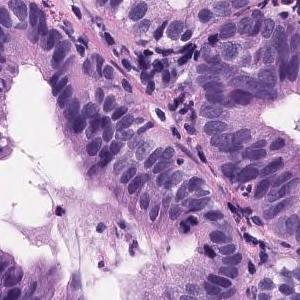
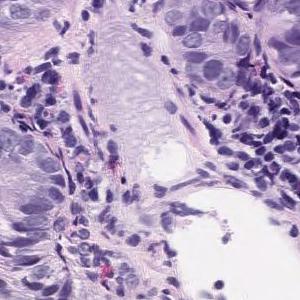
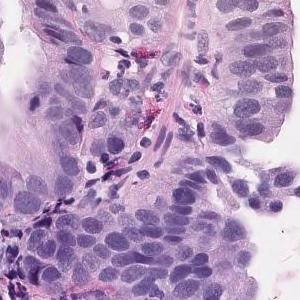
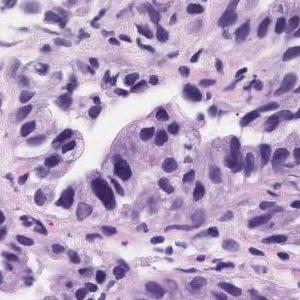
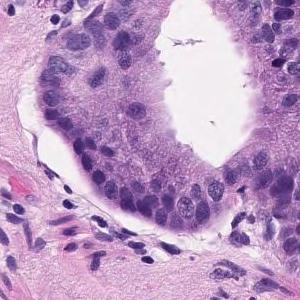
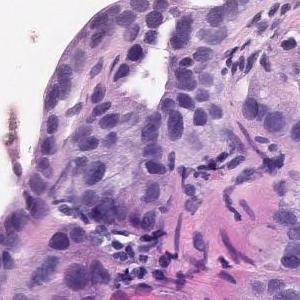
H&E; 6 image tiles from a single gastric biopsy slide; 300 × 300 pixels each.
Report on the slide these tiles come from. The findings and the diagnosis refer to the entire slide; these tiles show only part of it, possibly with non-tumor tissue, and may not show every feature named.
Tumor tissue consisting of medium-sized and irregular ducts is observed infiltrating in the superficial epithelium. Tumor cells are highly columnar, with nuclei aligned basolaterally and polarized. Well differentiated tubular adenocarcinoma.
